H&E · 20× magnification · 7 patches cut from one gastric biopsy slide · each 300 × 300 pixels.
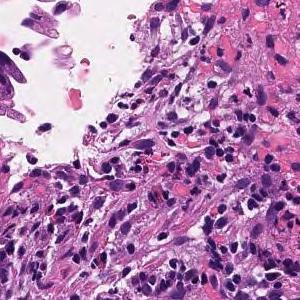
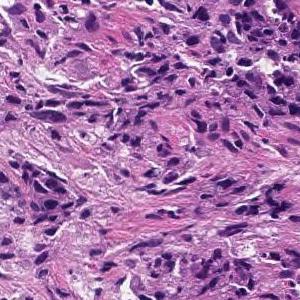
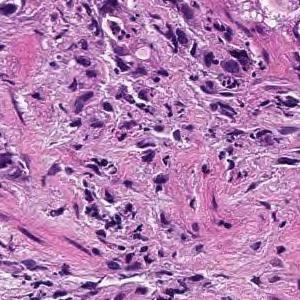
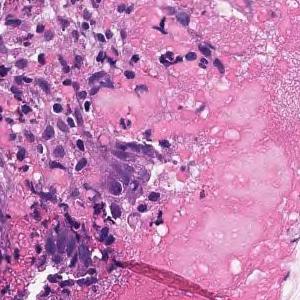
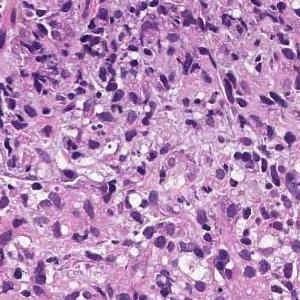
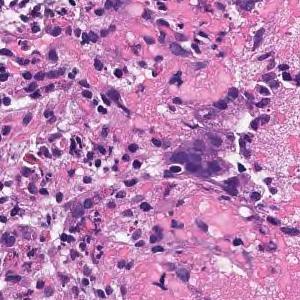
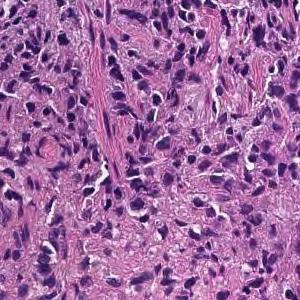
Pathology report for the slide these tiles were cut from. The report and the diagnosis describe the slide as a whole, so these tiles may not show every feature named and may include non-tumor tissue.
Tumor tissue consisting of cord-like or small, irregular glandular ducts fused and infiltrated is observed in the superficial epithelium. Poorly differentiated adenocarcinoma, non-solid type
"Non-solid type" is a category of the Japanese Classification of Gastric Carcinoma.
